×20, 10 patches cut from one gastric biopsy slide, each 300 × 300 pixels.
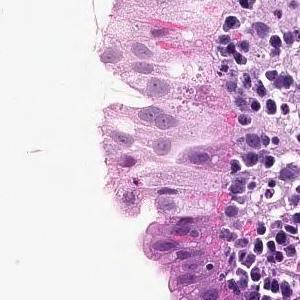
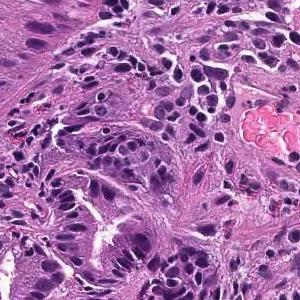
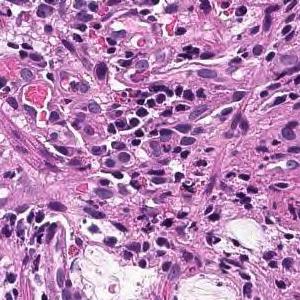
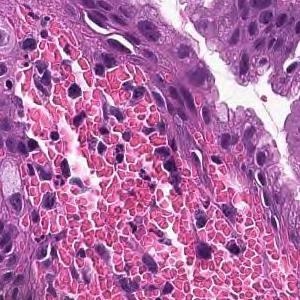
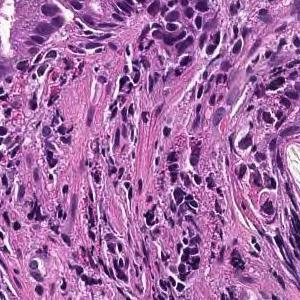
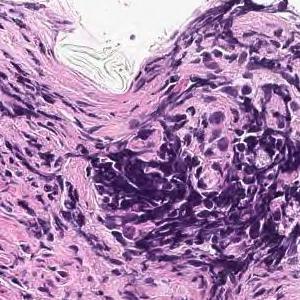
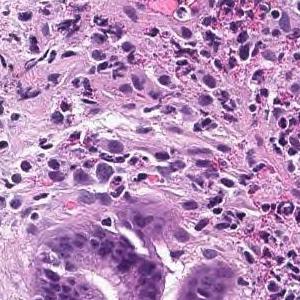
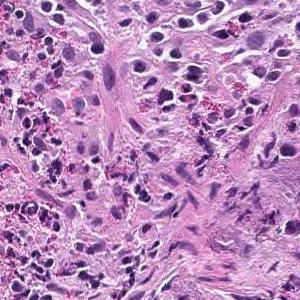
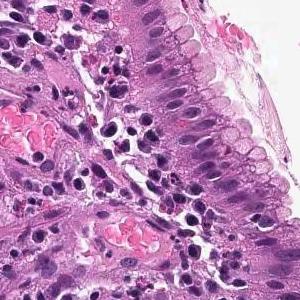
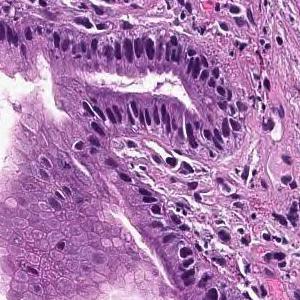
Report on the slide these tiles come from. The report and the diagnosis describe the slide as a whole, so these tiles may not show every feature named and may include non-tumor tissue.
In the superficial epithelium, tumor tissue that invades by forming medium-sized to small, irregular ducts is observed. moderately differentiated tubular adenocarcinoma.
